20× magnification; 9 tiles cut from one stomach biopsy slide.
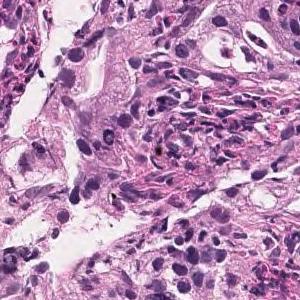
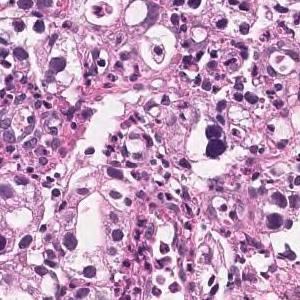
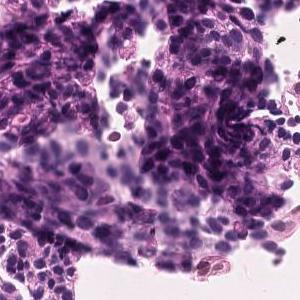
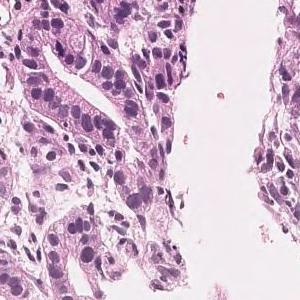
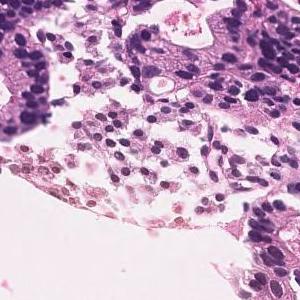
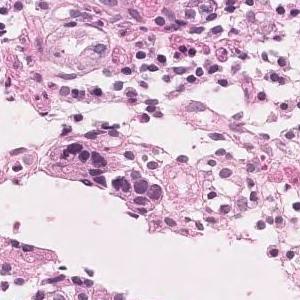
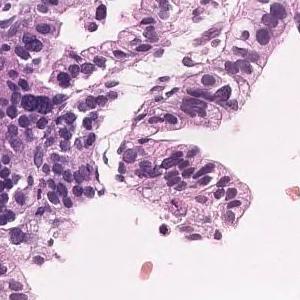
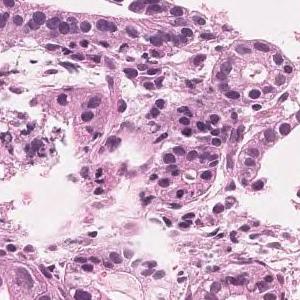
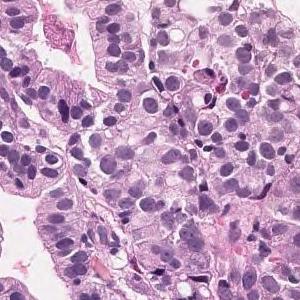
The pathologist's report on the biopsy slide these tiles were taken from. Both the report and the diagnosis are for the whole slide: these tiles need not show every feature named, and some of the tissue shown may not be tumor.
In the superficial epithelium, tumor tissue that invades by forming medium-sized to small, irregular ducts is observed. moderately differentiated tubular adenocarcinoma.
